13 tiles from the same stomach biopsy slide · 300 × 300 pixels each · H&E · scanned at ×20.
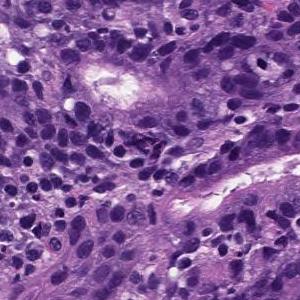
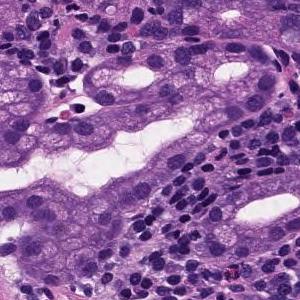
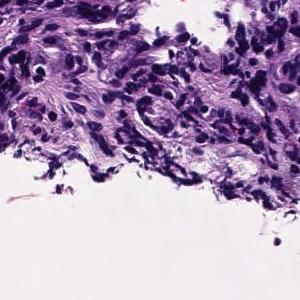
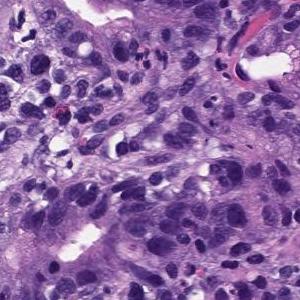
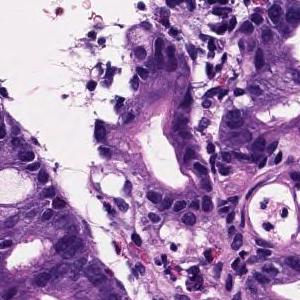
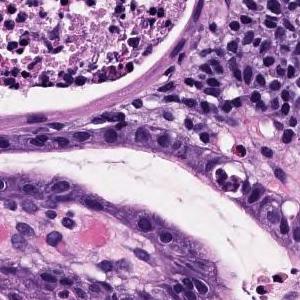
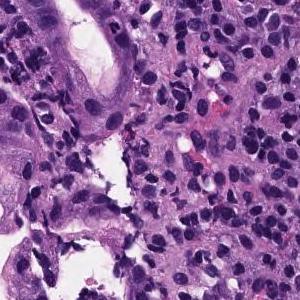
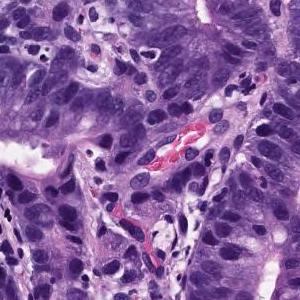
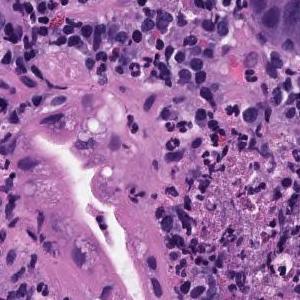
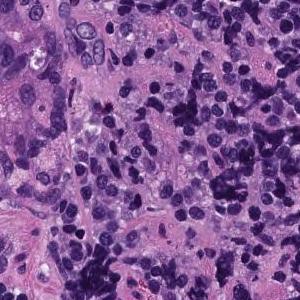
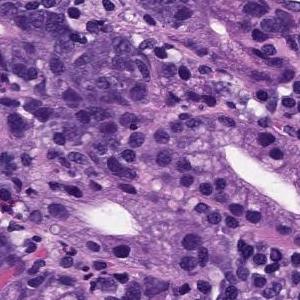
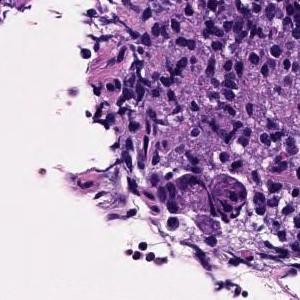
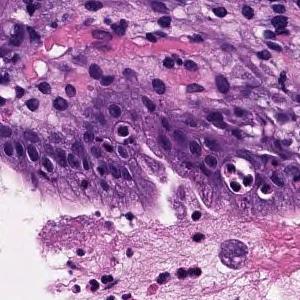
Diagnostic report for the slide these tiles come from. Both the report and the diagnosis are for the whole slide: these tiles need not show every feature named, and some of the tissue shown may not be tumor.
Medium to small, irregular glandular ducts are formed in the superficial epithelium, and in some cases, the glandular ducts are fused to show solid alveolar lesions and infiltrating tumor tissue is observed. Moderately to poorly differentiated adenocarcinoma.
